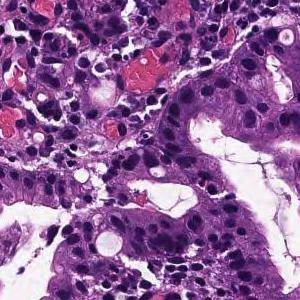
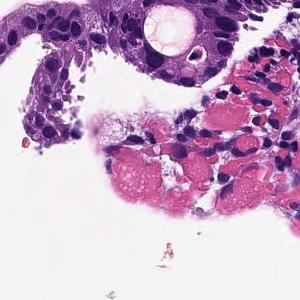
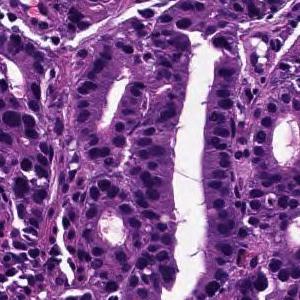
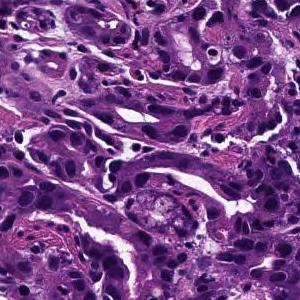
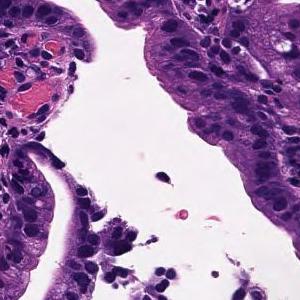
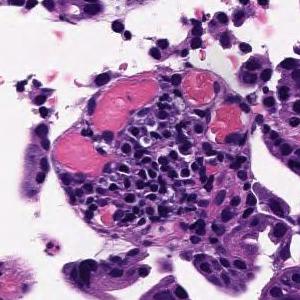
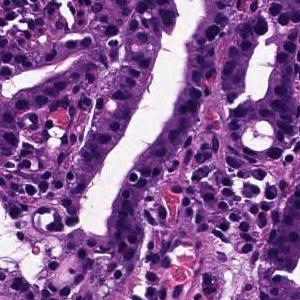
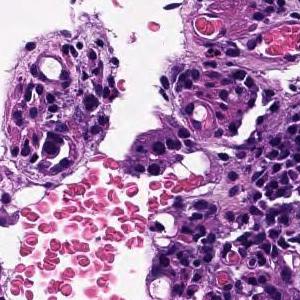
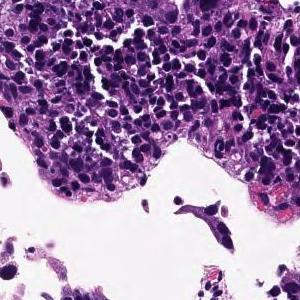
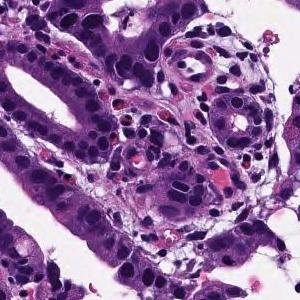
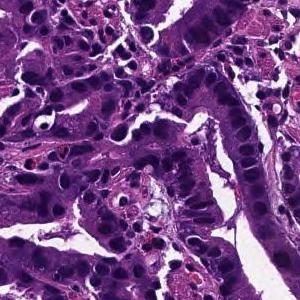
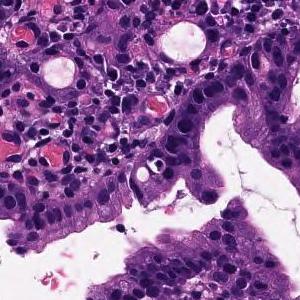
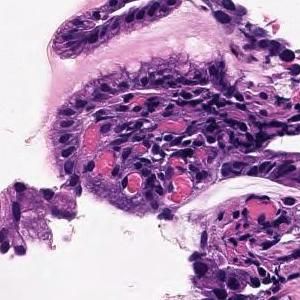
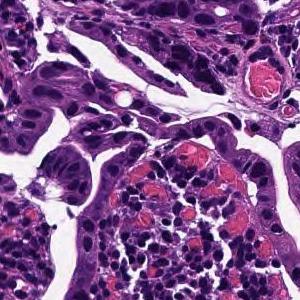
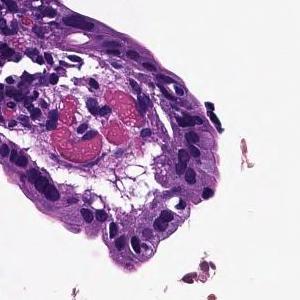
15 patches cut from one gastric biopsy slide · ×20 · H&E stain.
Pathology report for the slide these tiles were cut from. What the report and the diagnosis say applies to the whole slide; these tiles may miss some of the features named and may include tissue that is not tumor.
From the superficial epithelium to the muscularis mucosae, tumor tissue consisting of medium-sized and irregular glandular ducts infiltrating is observed. Well differentiated tubular adenocarcinoma
